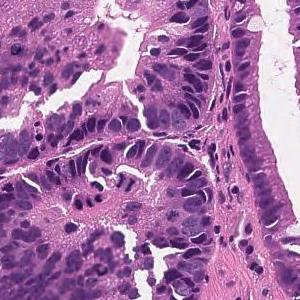
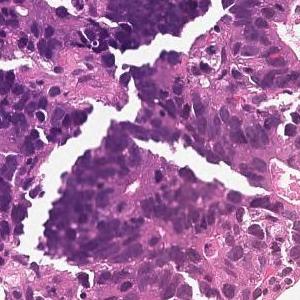
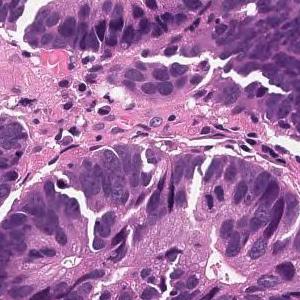
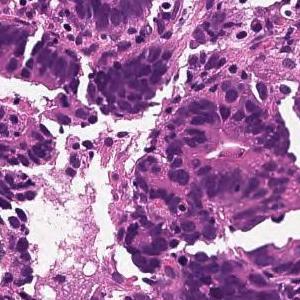
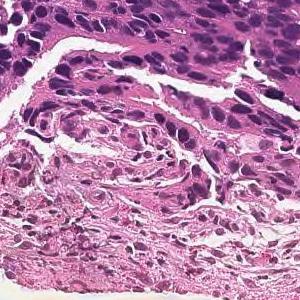
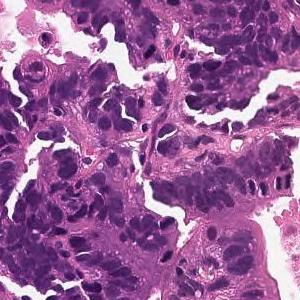
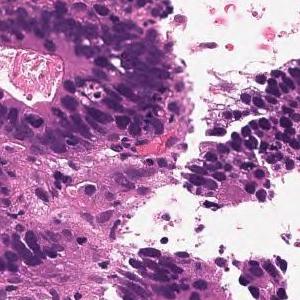
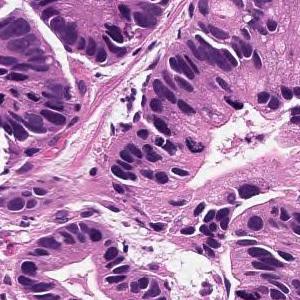
Hematoxylin and eosin stain, ×20, 8 tiles from the same stomach biopsy slide, each 300 × 300 pixels.
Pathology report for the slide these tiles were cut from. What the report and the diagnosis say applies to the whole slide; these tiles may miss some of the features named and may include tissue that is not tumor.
Tumor cells are large, highly columnar, large club-shaped nuclei, and are associated with chromatin aggregation. Papillary adenocarcinoma.
